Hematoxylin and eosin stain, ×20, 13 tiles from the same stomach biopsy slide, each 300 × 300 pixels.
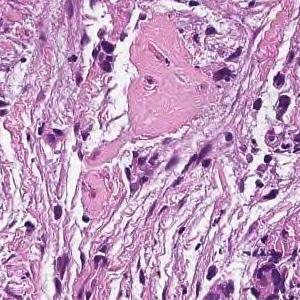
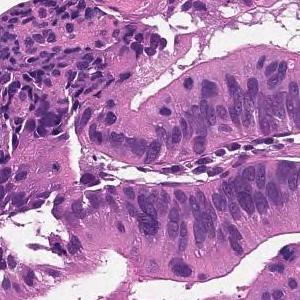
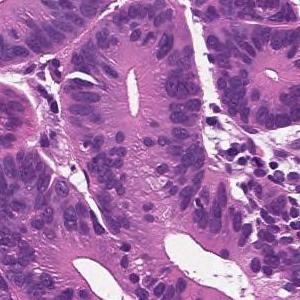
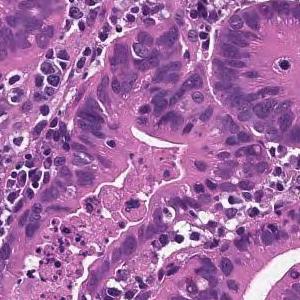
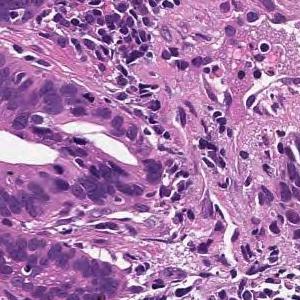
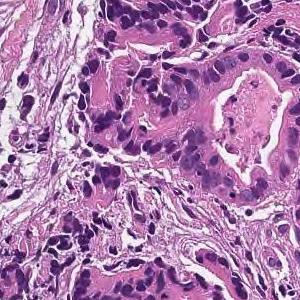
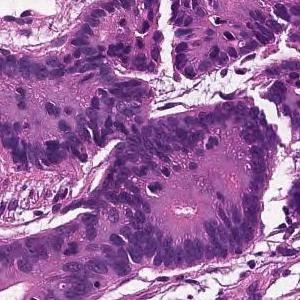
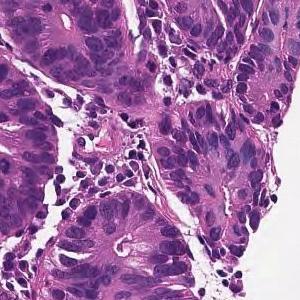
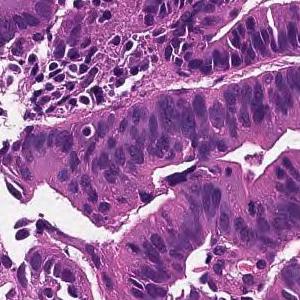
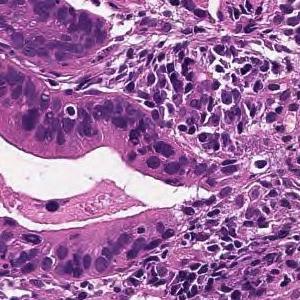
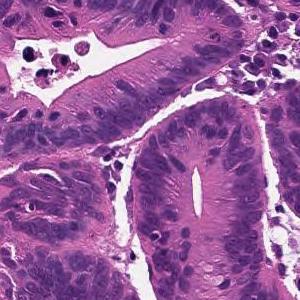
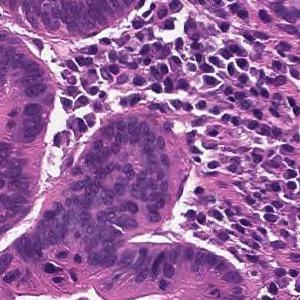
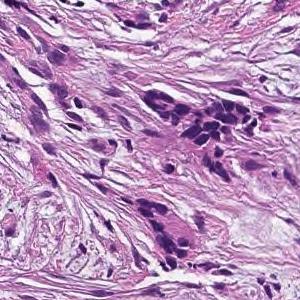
Pathology report for the slide these tiles were cut from. Both the report and the diagnosis are for the whole slide: these tiles need not show every feature named, and some of the tissue shown may not be tumor.
From the superficial epithelium to the muscularis mucosae, tumor tissue consisting of medium-sized and irregular glandular ducts infiltrating is observed. Well differentiated tubular adenocarcinoma
